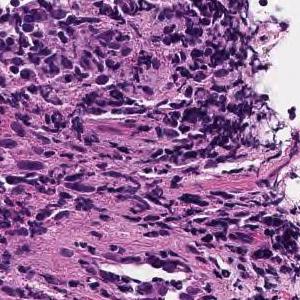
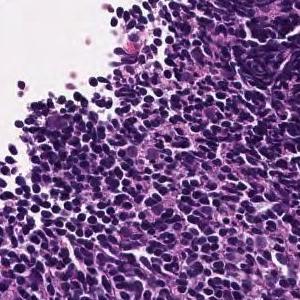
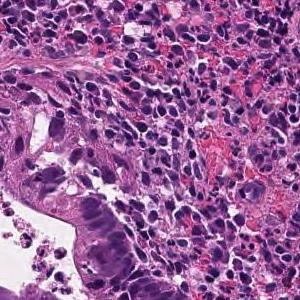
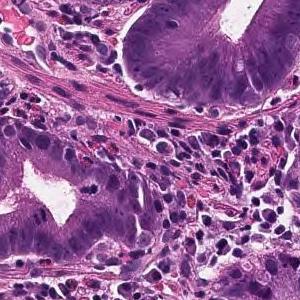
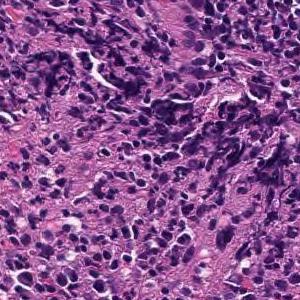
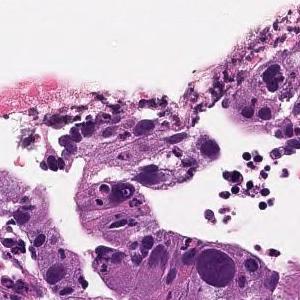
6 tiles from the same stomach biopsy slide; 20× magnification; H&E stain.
Pathology report for the biopsy slide these tiles were cut from. The report and the diagnosis cover the entire slide, so not every feature they name need be visible here, and some tissue shown may not be tumor.
From the superficial epithelium to the muscularis mucosae, tumor tissue consisting of medium-sized and irregular glandular ducts infiltrating is observed. Well differentiated tubular adenocarcinoma
